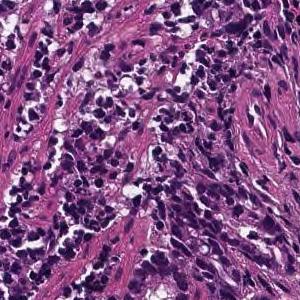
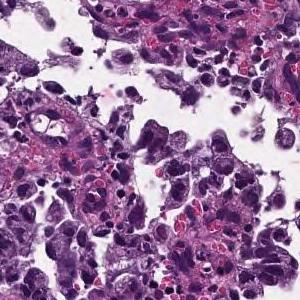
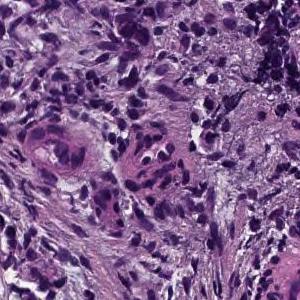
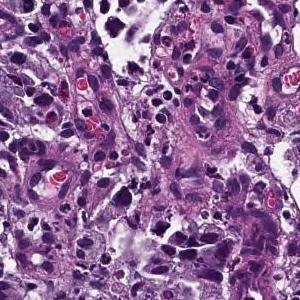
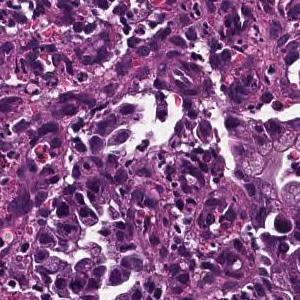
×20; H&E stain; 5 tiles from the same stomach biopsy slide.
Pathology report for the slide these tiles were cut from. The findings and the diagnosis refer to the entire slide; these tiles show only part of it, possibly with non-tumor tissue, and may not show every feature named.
Medium to small, irregular glandular ducts are formed in the superficial epithelium, and in some cases, the glandular ducts are fused to show solid alveolar lesions and infiltrating tumor tissue is observed. Moderately to poorly differentiated adenocarcinoma.
